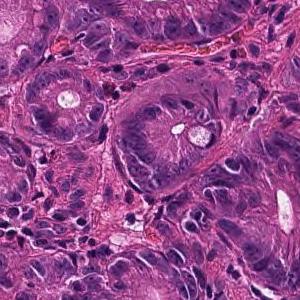
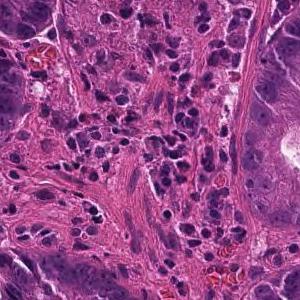
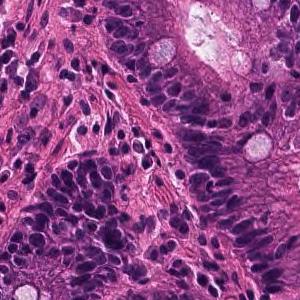
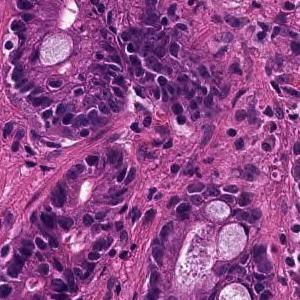
4 patches cut from one gastric biopsy slide.
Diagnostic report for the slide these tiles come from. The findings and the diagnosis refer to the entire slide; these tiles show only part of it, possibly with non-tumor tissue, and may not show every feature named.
Medium to small, irregular glandular ducts are formed in the superficial epithelium, and in some cases, the glandular ducts are fused to show solid alveolar lesions and infiltrating tumor tissue is observed. Moderately to poorly differentiated adenocarcinoma.
